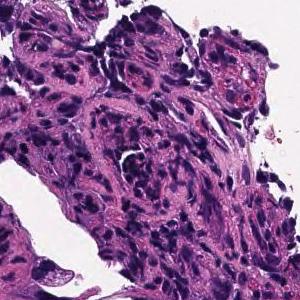
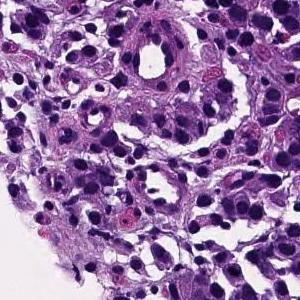
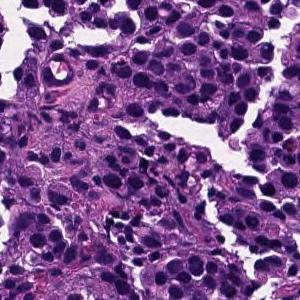
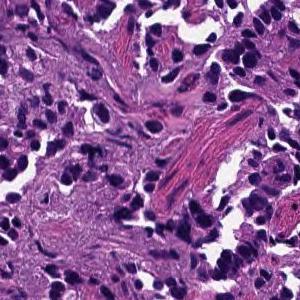
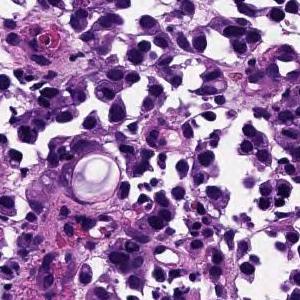
Scanned at ×20; hematoxylin and eosin stain; 5 image tiles from a single gastric biopsy slide.
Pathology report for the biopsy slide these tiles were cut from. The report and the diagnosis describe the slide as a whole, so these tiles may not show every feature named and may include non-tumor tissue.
The superficial epithelium shows a large alveolar shape and infiltrates tumor tissue. Poorly differentiated adenocarcinoma, solid-type
Classified as poorly differentiated adenocarcinoma, solid type (Japanese Classification of Gastric Carcinoma). The WHO 2019 equivalent is tubular adenocarcinoma, poorly differentiated.
